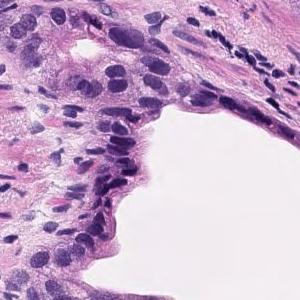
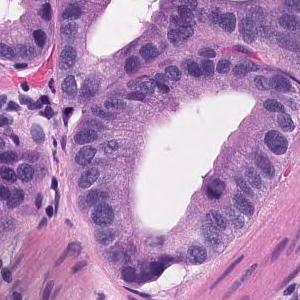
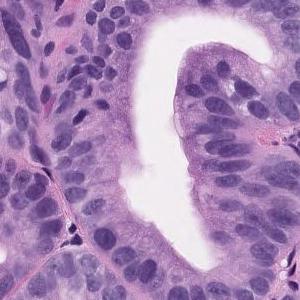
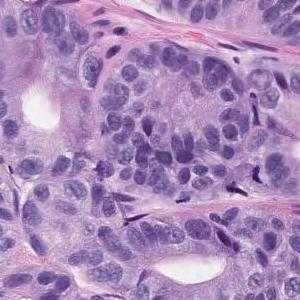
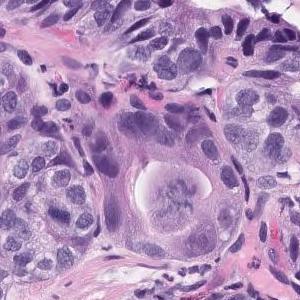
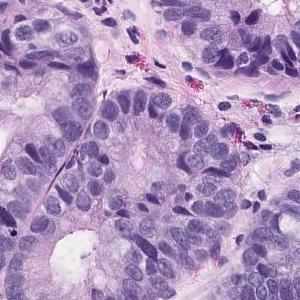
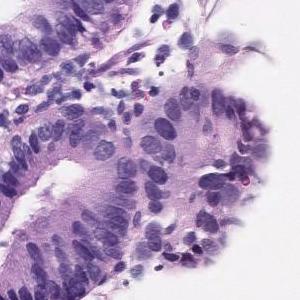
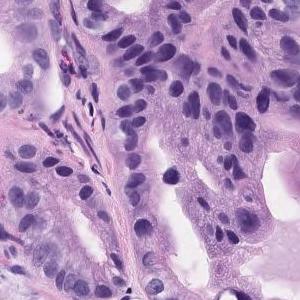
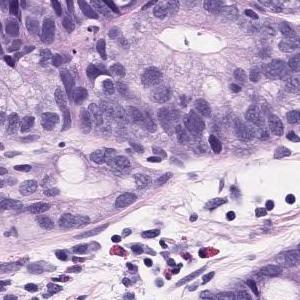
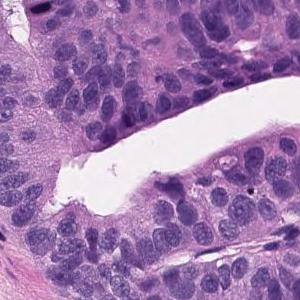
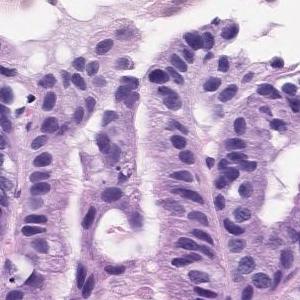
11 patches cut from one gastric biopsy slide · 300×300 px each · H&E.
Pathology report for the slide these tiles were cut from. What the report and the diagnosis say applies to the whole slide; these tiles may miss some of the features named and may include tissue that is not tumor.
Tumor tissue consisting of medium-sized and irregular ducts is observed infiltrating in the superficial epithelium. Tumor cells are highly columnar, with nuclei aligned basolaterally and polarized. Well differentiated tubular adenocarcinoma.
